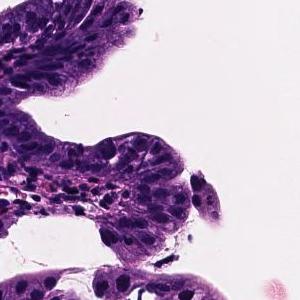
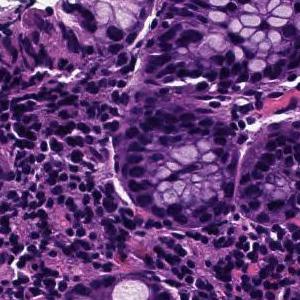
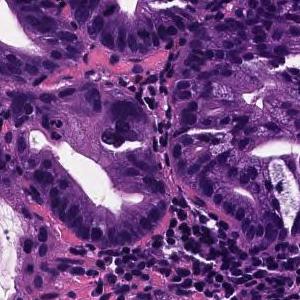
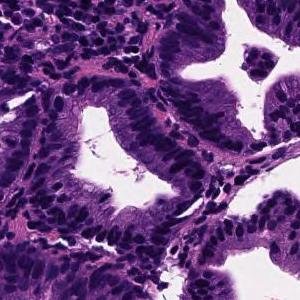
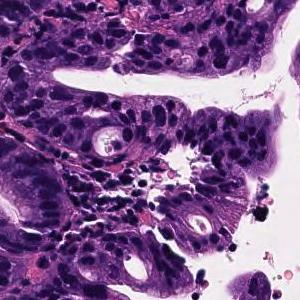
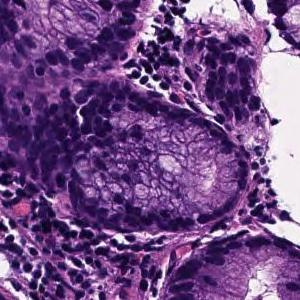
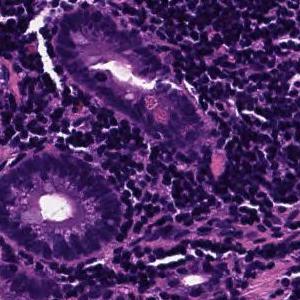
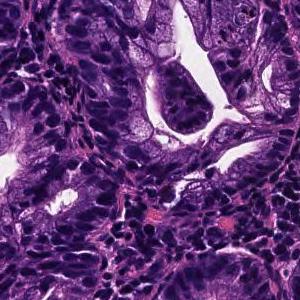
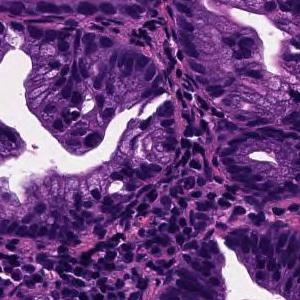
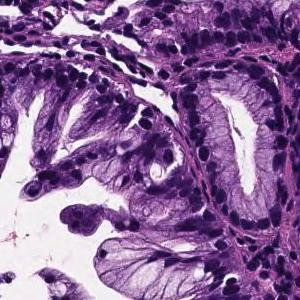
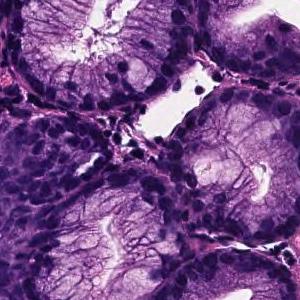
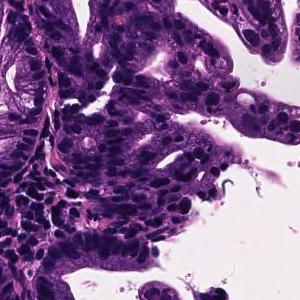
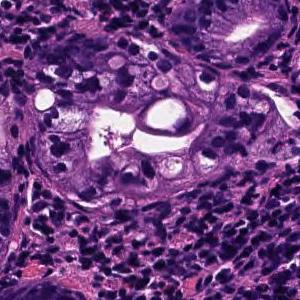
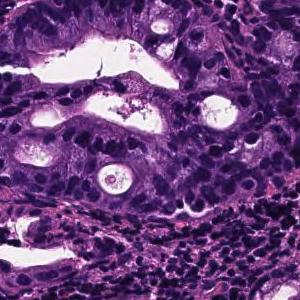
Hematoxylin and eosin stain, scanned at ×20, 14 tiles from the same stomach biopsy slide.
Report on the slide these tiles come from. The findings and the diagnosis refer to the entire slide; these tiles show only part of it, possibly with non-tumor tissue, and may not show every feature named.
On the superficial epithelium, tumor tissue that infiltrates by forming medium-sized papillary or small irregular ducts is observed. Papillary adenocarcinoma
